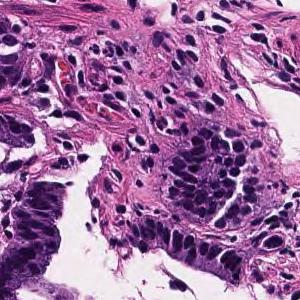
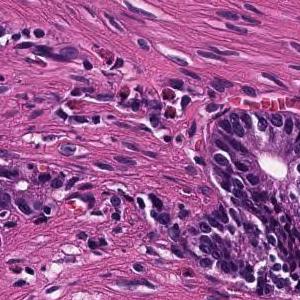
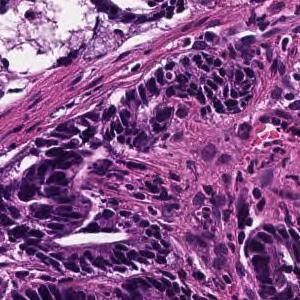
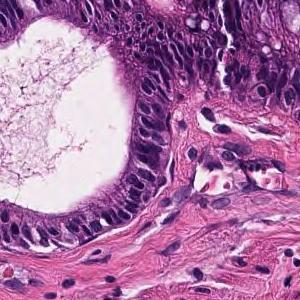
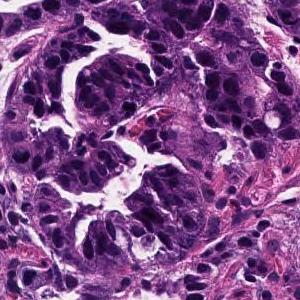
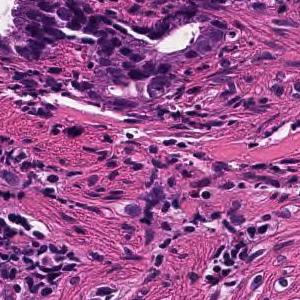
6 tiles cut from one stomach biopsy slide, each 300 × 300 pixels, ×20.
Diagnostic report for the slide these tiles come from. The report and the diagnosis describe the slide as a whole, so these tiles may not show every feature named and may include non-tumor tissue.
Tumor cells are large, highly columnar, large club-shaped nuclei, and are associated with chromatin aggregation. Papillary adenocarcinoma.
